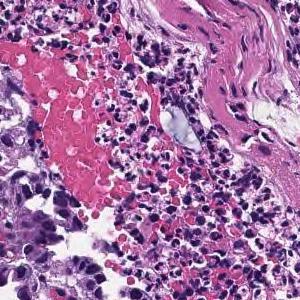
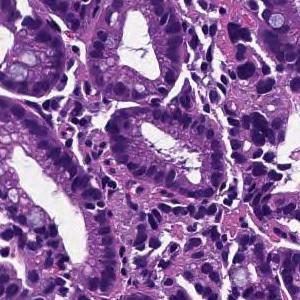
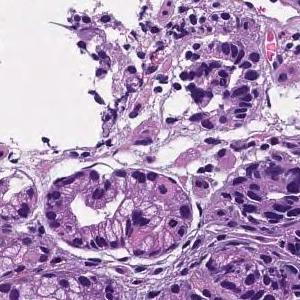
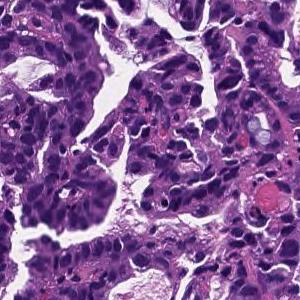
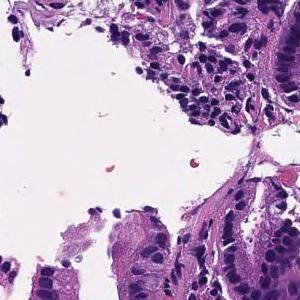
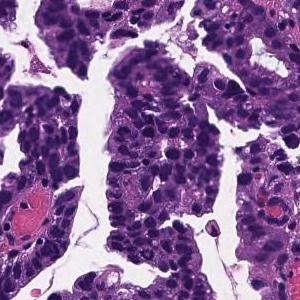
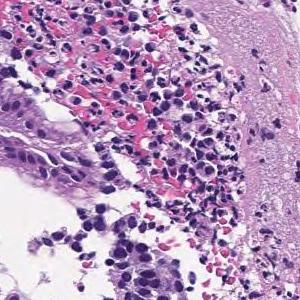
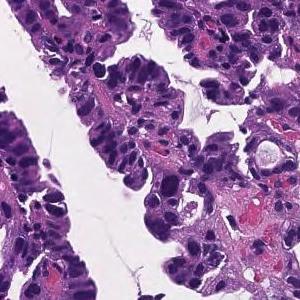
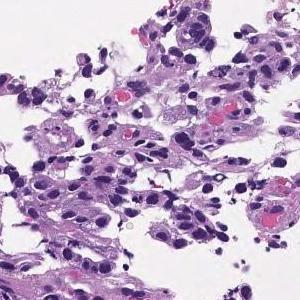
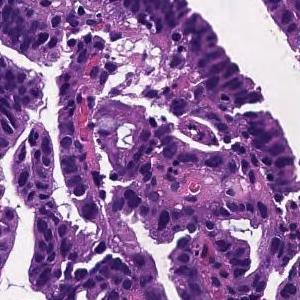
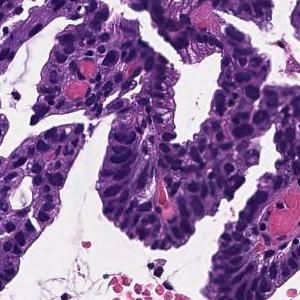
11 tiles cut from one stomach biopsy slide.
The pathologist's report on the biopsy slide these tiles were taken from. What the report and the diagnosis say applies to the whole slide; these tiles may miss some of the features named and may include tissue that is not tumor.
Tumor cells are large, highly columnar, large club-shaped nuclei, and are associated with chromatin aggregation. Papillary adenocarcinoma.
